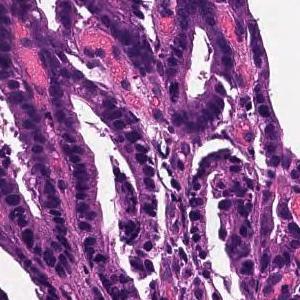
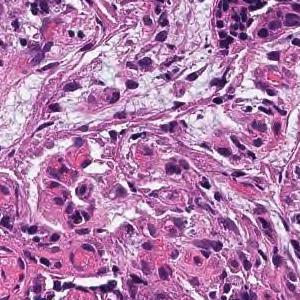
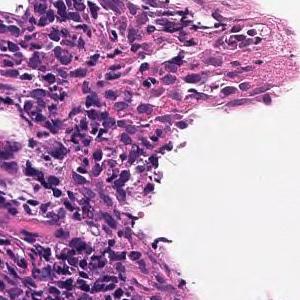
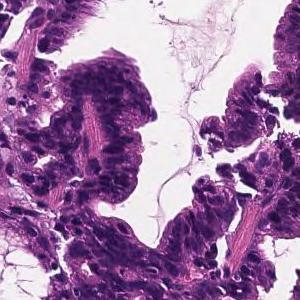
Scanned at ×20, 4 image tiles from a single gastric biopsy slide.
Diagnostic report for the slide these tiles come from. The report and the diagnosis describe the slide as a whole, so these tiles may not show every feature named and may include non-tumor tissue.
Medium to small, irregular glandular ducts are formed in the superficial epithelium, and some tumor tissues show small cords and infiltrate. moderately differentiated tubular adenocarcinoma or Poorly differentiated adenocarcinoma, non-solid type
Dataset label: moderately differentiated tubular adenocarcinoma.
"Non-solid type" is a category of the Japanese Classification of Gastric Carcinoma.
